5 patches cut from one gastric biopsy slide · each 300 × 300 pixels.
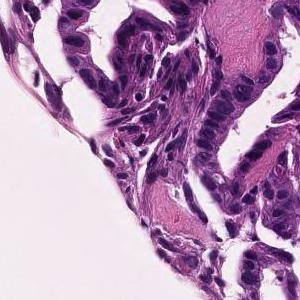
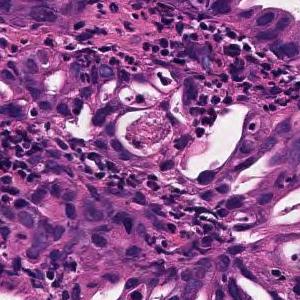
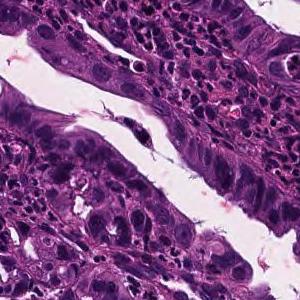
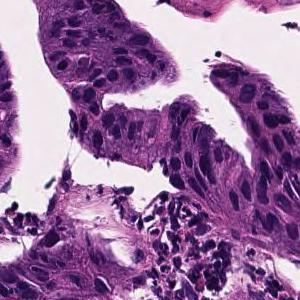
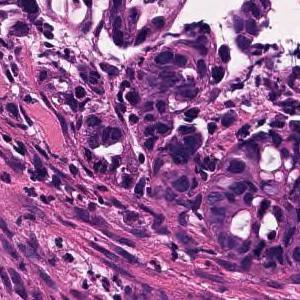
The pathologist's report on the biopsy slide these tiles were taken from. What the report and the diagnosis say applies to the whole slide; these tiles may miss some of the features named and may include tissue that is not tumor.
In the superficial epithelium, medium-sized to small irregular glandular ducts are formed, and in some cases, the glandular ducts are fused or small cord-like infiltrating tumor tissue is observed. moderately differentiated tubular adenocarcinoma
